H&E · 20× magnification · 12 patches cut from one gastric biopsy slide · 300×300 px each.
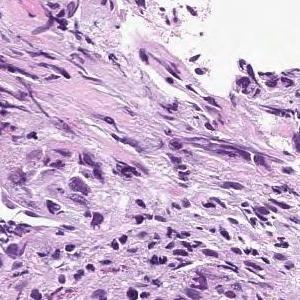
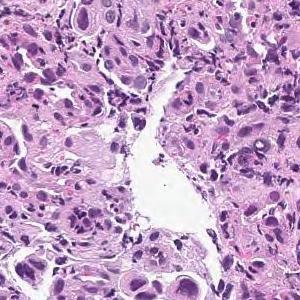
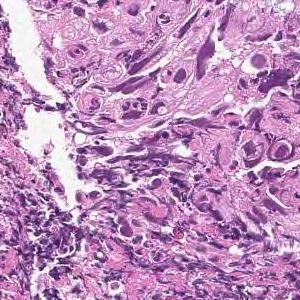
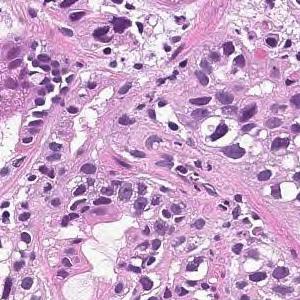
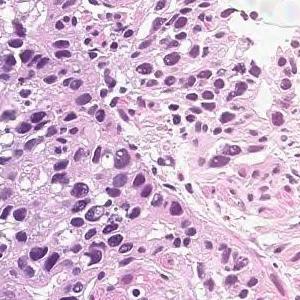
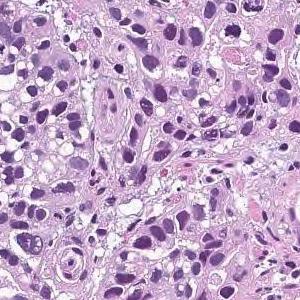
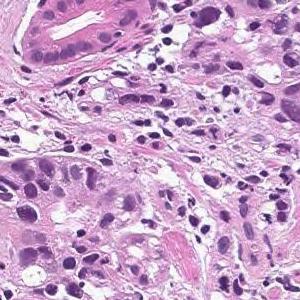
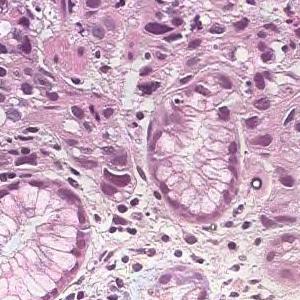
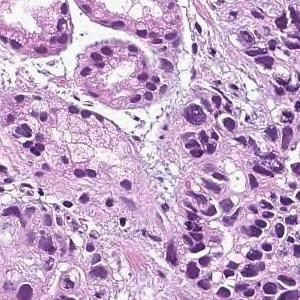
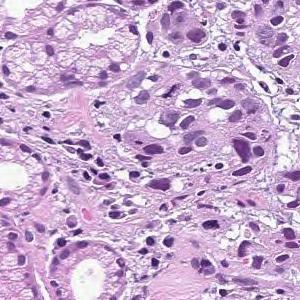
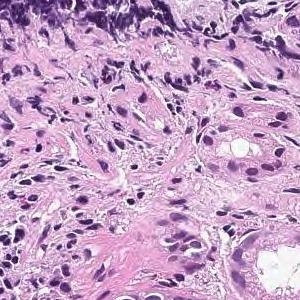
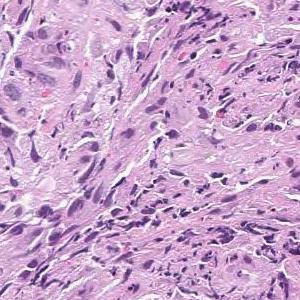
Pathology report for the biopsy slide these tiles were cut from. The report and the diagnosis describe the slide as a whole, so these tiles may not show every feature named and may include non-tumor tissue.
Tumor tissue consisting of cord-like or small, irregular glandular ducts fused and infiltrated is observed in the superficial epithelium. Poorly differentiated adenocarcinoma, non-solid type
The non-solid type named here is a Japanese Classification of Gastric Carcinoma category.
